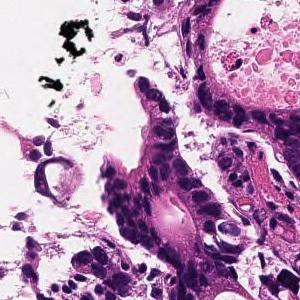
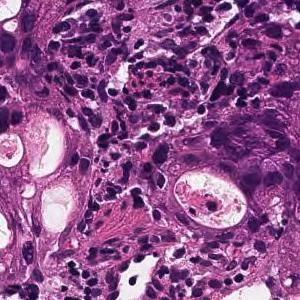
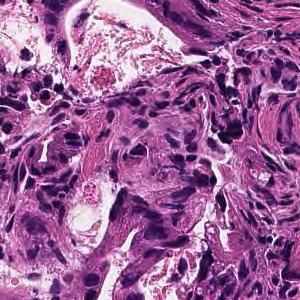
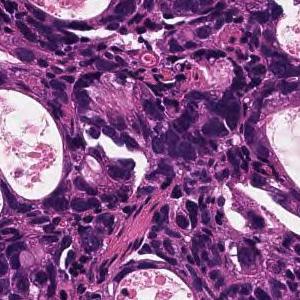
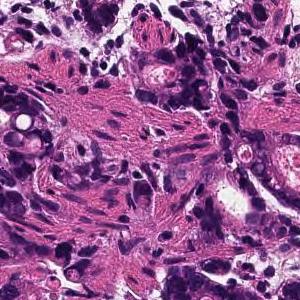
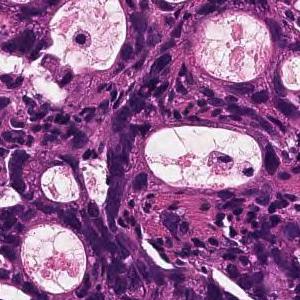
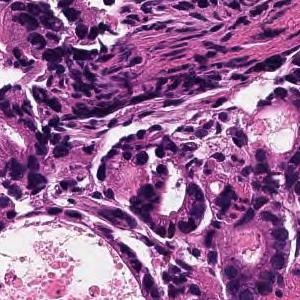
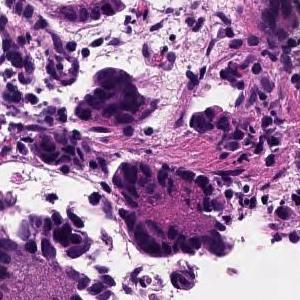
8 tiles from the same stomach biopsy slide; H&E; 20× magnification.
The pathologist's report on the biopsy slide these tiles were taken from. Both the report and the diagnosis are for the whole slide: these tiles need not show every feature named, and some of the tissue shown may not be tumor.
In the superficial epithelium, tumor tissue that invades by forming medium-sized to small, irregular ducts is observed. moderately differentiated tubular adenocarcinoma.
